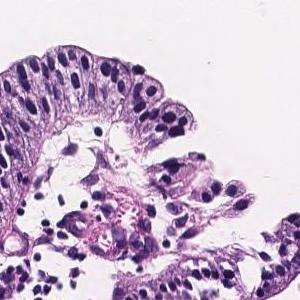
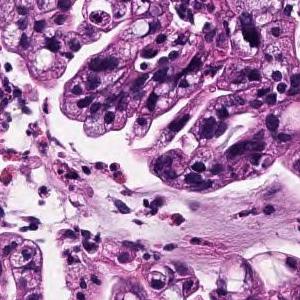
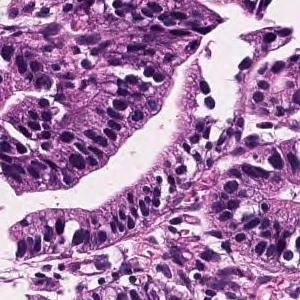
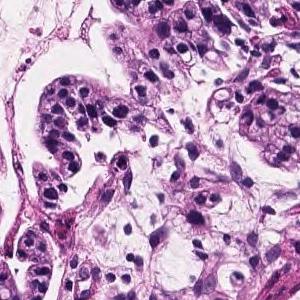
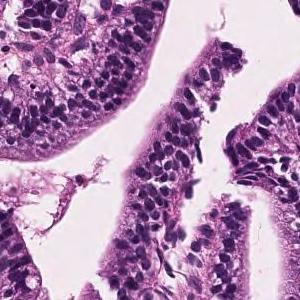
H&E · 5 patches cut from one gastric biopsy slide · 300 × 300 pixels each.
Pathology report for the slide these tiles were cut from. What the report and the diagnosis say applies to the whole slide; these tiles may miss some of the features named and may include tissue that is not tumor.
Tumor tissue consisting of large papillary structures or irregular glandular ducts partially fused and infiltrated is observed in the superficial epithelium. Well to moderately differentiated tubular adenocarcinoma.
Dataset label: moderately differentiated tubular adenocarcinoma.
